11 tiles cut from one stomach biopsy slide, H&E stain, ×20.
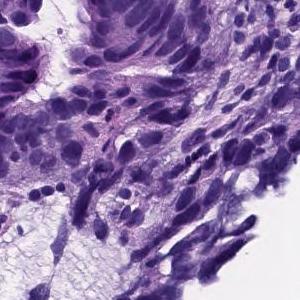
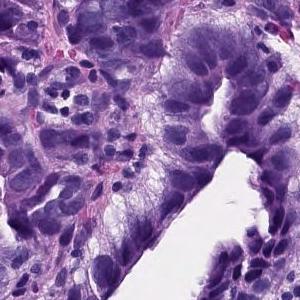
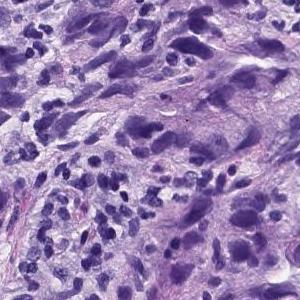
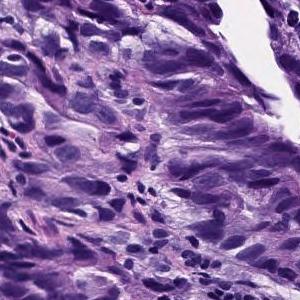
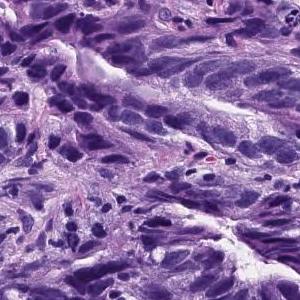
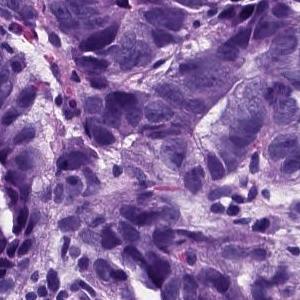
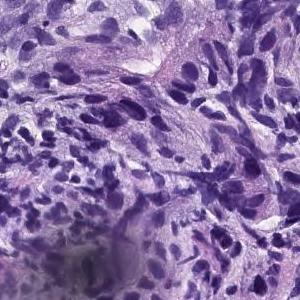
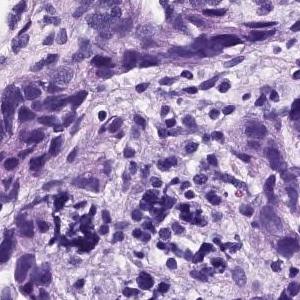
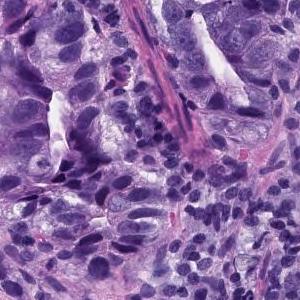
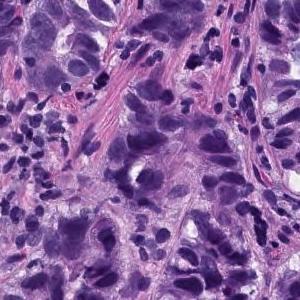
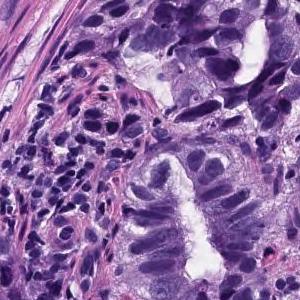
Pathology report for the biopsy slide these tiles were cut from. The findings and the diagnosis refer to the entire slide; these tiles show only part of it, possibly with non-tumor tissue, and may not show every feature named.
In the superficial epithelium, tumor tissue that invades by forming medium-sized to small, irregular ducts is observed. Moderately differentiated adenocarcinoma.
Histological subtype: Moderately differentiated tubular adenocarcinoma.
